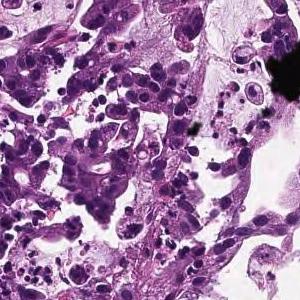
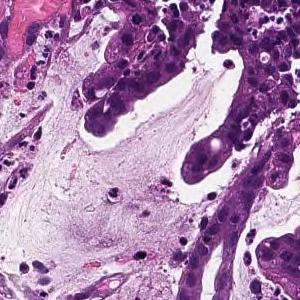
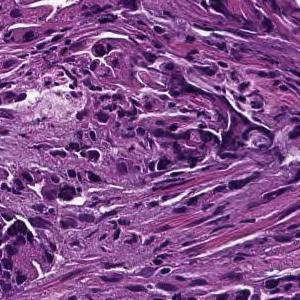
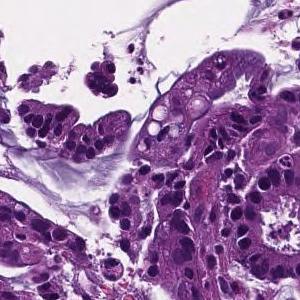
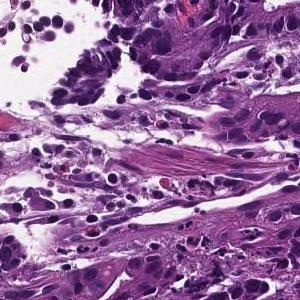
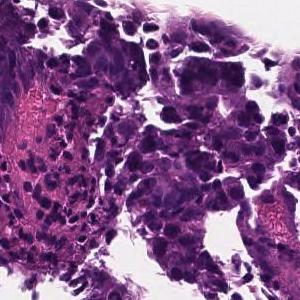
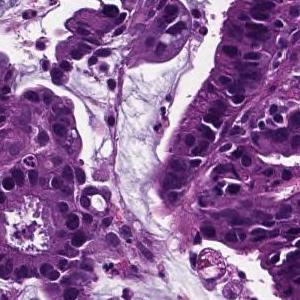
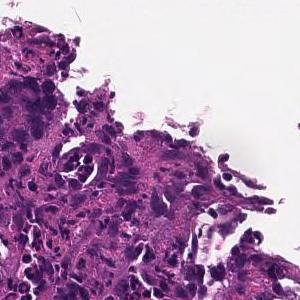
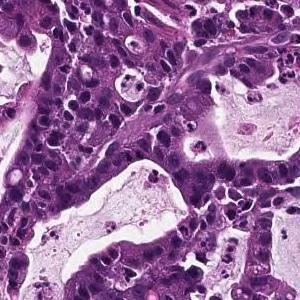
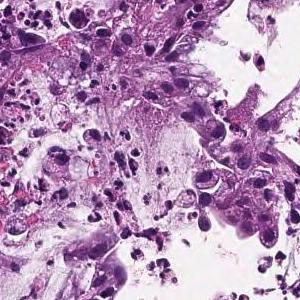
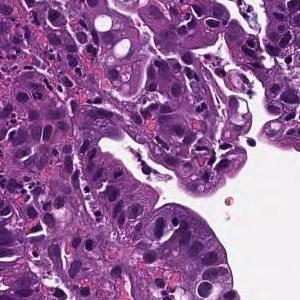
H&E, 20× magnification, 11 tiles cut from one stomach biopsy slide.
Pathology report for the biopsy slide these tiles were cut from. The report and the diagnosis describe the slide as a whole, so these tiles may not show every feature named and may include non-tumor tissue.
On the superficial epithelium, tumor tissue consisting of large irregular glandular ducts partially fused and infiltrated is observed. Well to moderately differentiated tubular adenocarcinoma (well differentiated tubular adenocarcinoma, moderately differentiated tubular adenocarcinoma)
Histologic type: Well to moderately differentiated tubular adenocarcinoma.
